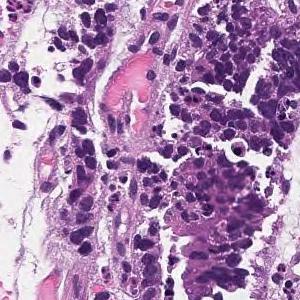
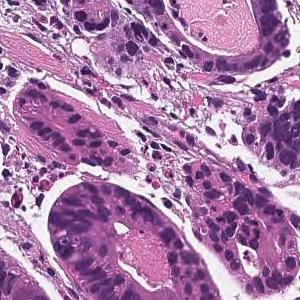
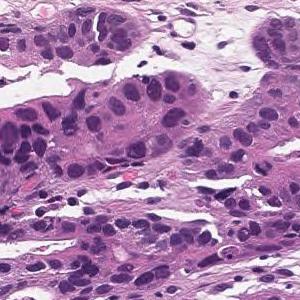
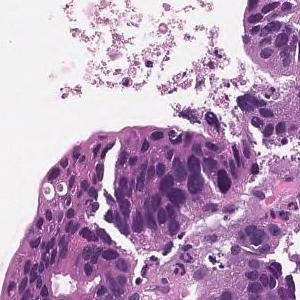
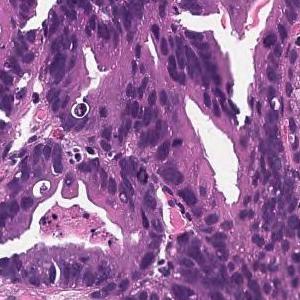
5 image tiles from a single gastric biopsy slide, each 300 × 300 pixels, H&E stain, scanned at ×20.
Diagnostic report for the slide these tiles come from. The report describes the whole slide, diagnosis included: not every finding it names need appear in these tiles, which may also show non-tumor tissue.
In the superficial epithelium, tumor tissue that invades by forming medium-sized to small, irregular ducts is observed. moderately differentiated tubular adenocarcinoma.
